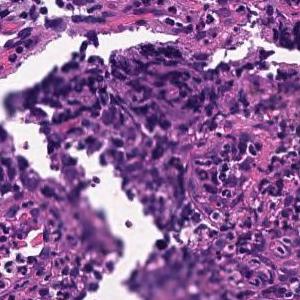
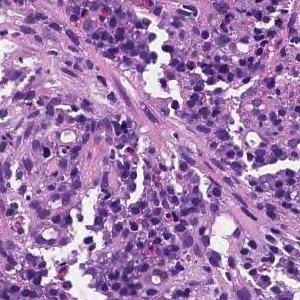
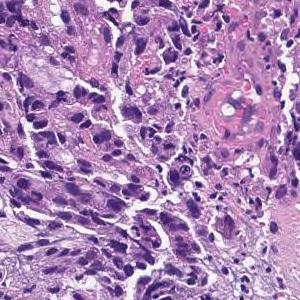
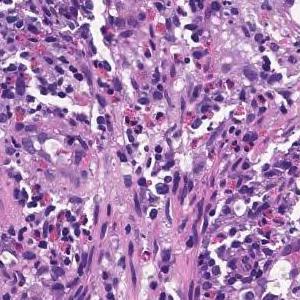
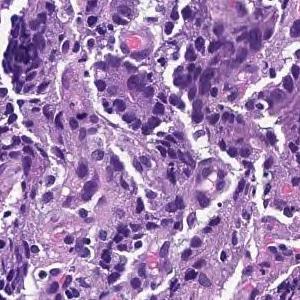
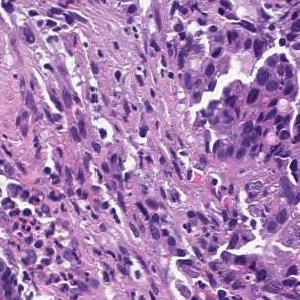
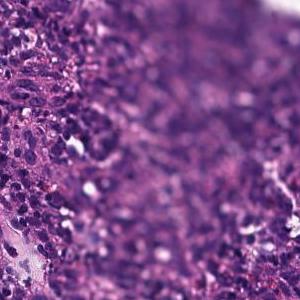
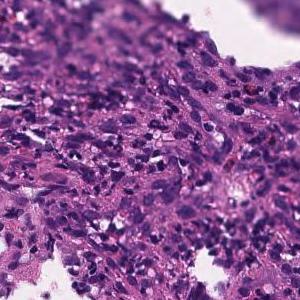
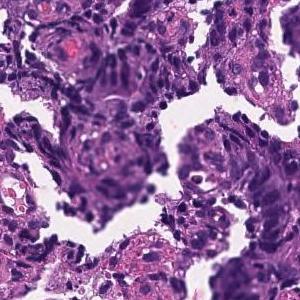
H&E stain, 9 tiles from the same stomach biopsy slide.
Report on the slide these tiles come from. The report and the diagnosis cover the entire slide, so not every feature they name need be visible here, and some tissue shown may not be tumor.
On the superficial epithelium, tumor tissue consisting of large irregular glandular ducts partially fused and infiltrated is observed. Well to moderately differentiated tubular adenocarcinoma (well differentiated tubular adenocarcinoma, moderately differentiated tubular adenocarcinoma)
Tumor subtype: well to moderately differentiated tubular adenocarcinoma.
